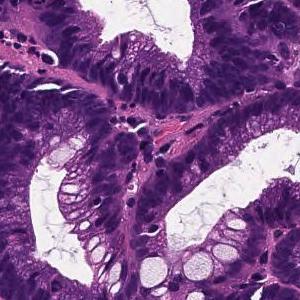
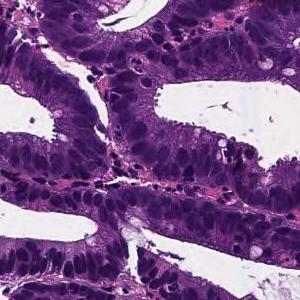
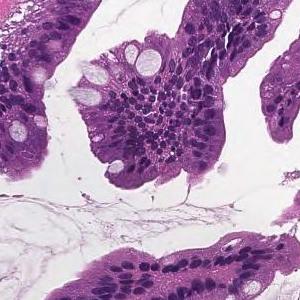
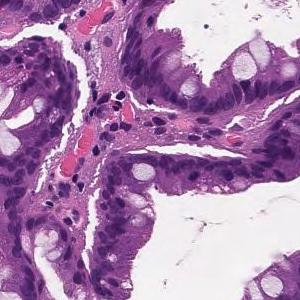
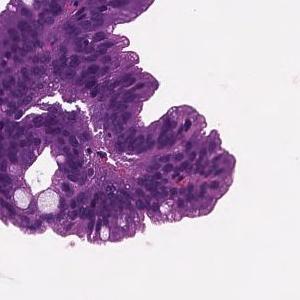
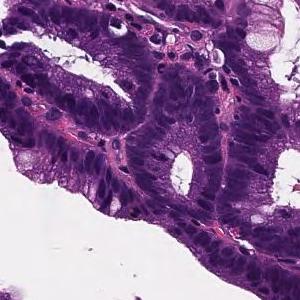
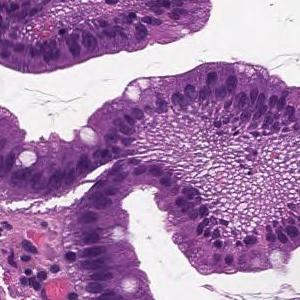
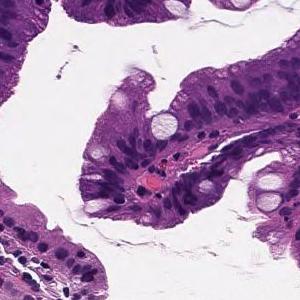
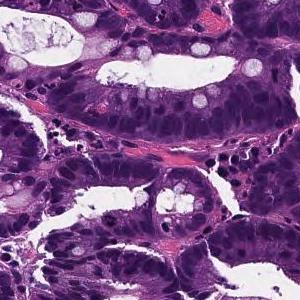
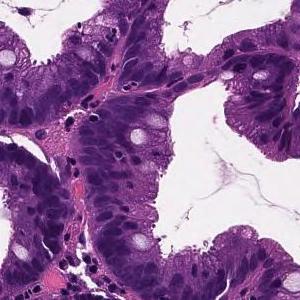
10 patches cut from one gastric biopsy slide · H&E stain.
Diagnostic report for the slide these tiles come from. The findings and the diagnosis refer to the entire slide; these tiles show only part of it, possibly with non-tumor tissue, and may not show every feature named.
moderately differentiated tubular adenocarcinoma infiltrates in the submucosa massively.
Classified as moderately differentiated tubular adenocarcinoma.
